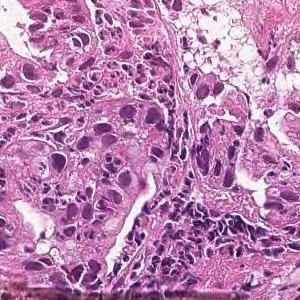
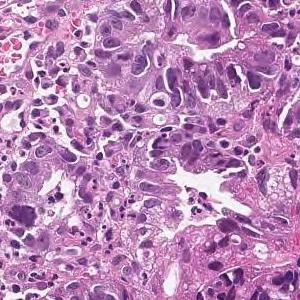
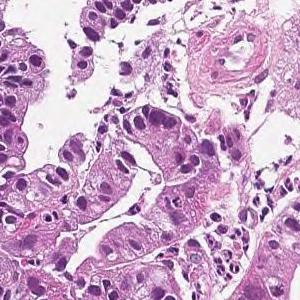
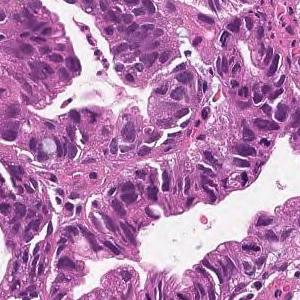
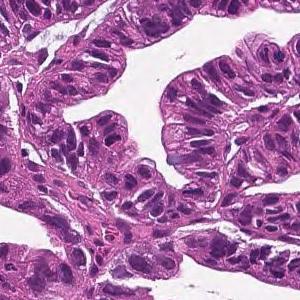
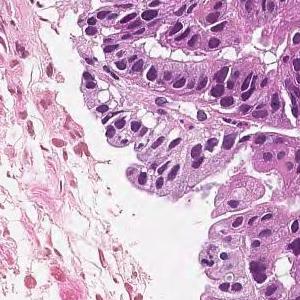
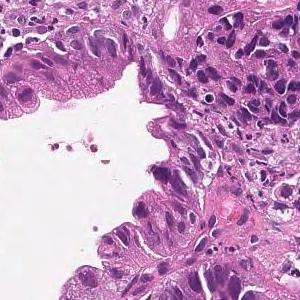
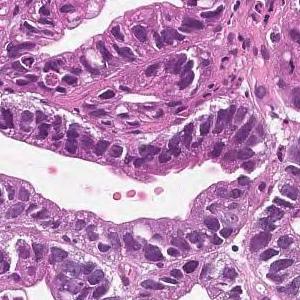
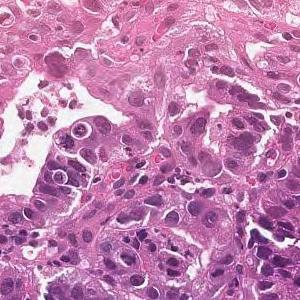
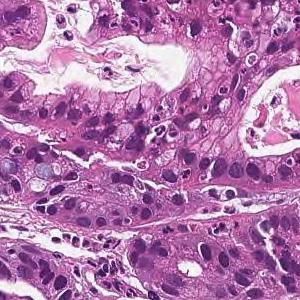
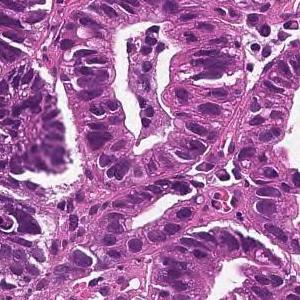
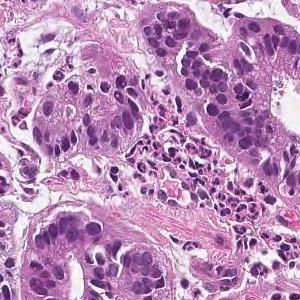
12 patches cut from one gastric biopsy slide; each 300 × 300 pixels; hematoxylin and eosin stain.
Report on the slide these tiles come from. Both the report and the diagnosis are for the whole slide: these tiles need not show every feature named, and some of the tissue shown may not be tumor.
On the superficial epithelium, tumor tissue that infiltrates by forming medium-sized papillary or small irregular ducts is observed. Papillary adenocarcinoma
